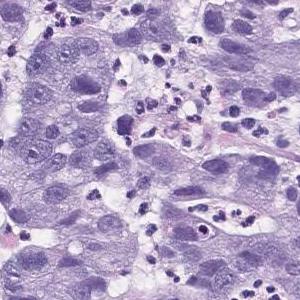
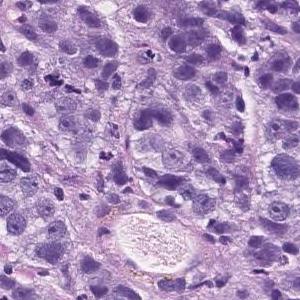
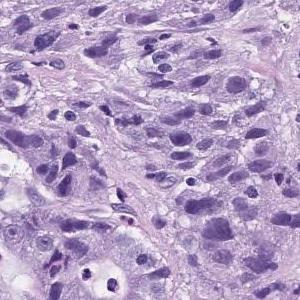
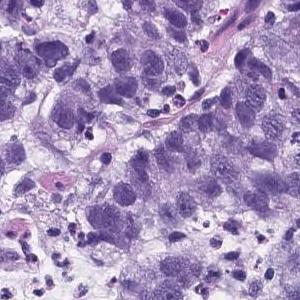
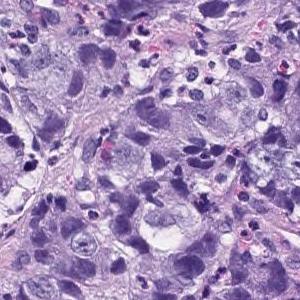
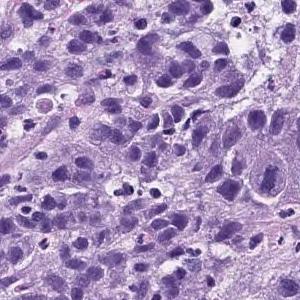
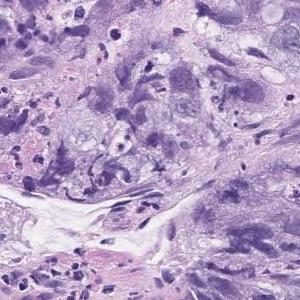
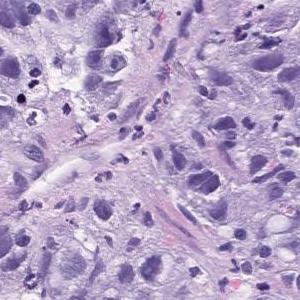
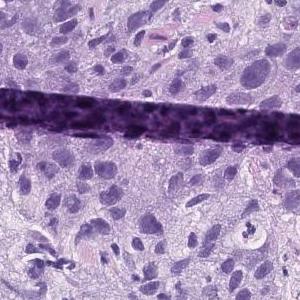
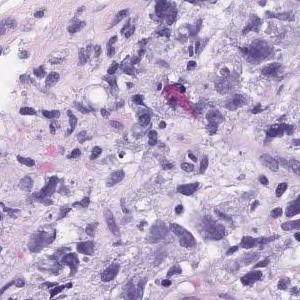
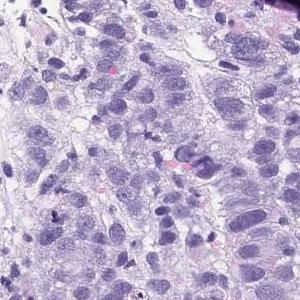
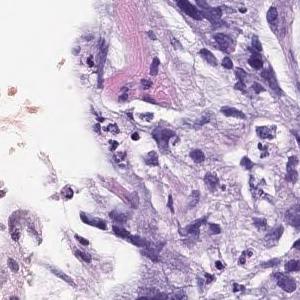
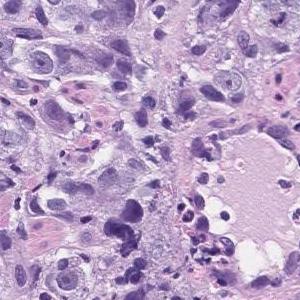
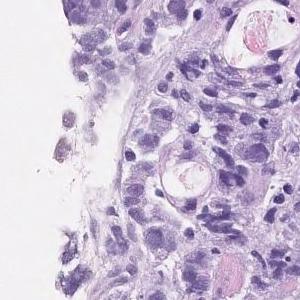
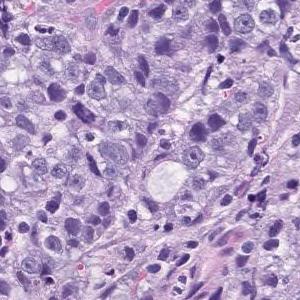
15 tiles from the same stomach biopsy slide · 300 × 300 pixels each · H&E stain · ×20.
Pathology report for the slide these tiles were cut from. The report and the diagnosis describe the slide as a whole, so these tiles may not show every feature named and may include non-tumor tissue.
Atypical l cells with atypical nuclei forming solid vesicles or small irregular atypical ducts that proliferate in a complex manner. poorly differentiated adenocarcinoma, solid type, moderately differentiated tubular adenocarcinoma
"Solid type" is a category of the Japanese Classification of Gastric Carcinoma; in the WHO 2019 classification it is tubular adenocarcinoma, poorly differentiated.
